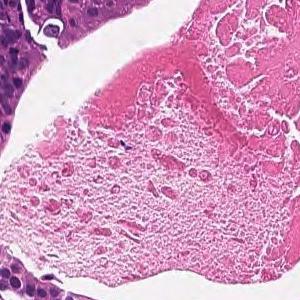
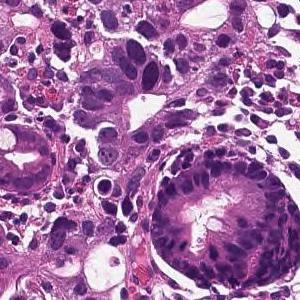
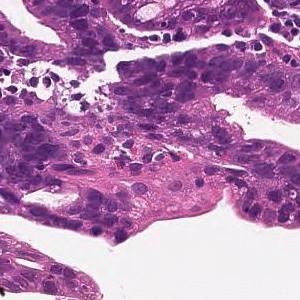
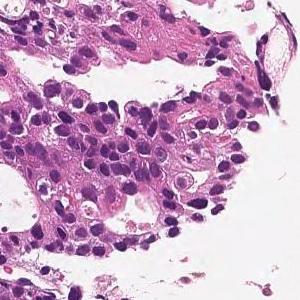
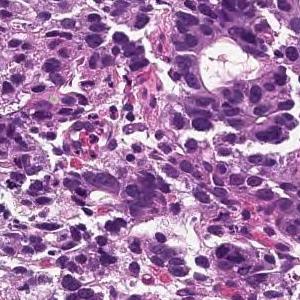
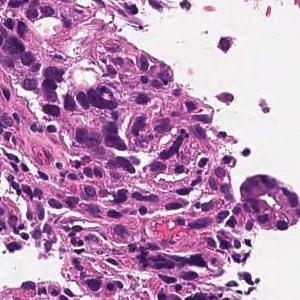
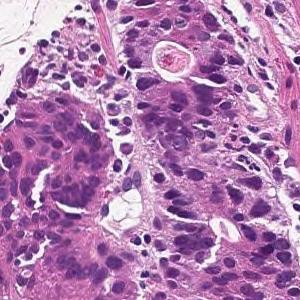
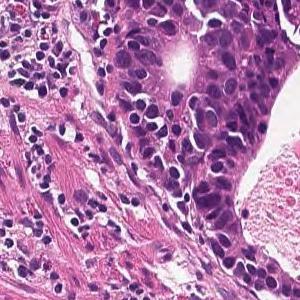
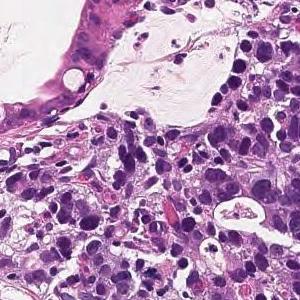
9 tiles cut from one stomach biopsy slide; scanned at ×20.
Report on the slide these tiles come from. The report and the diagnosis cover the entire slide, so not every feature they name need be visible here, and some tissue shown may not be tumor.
On the superficial epithelium, tumor tissue is found in which medium-sized irregular gland ducts fuse with each other and infiltrate. moderately differentiated tubular adenocarcinoma
